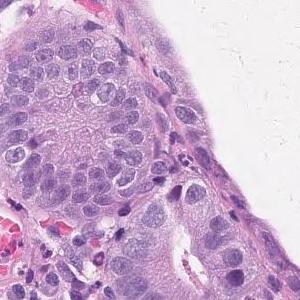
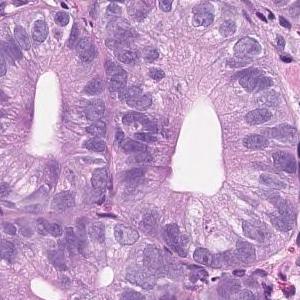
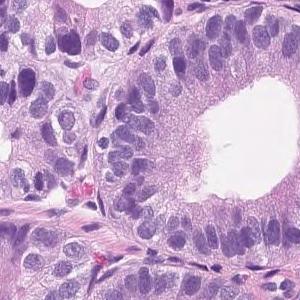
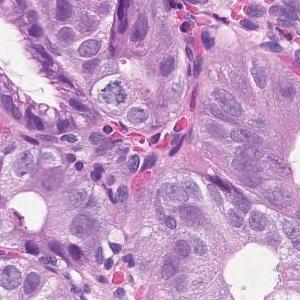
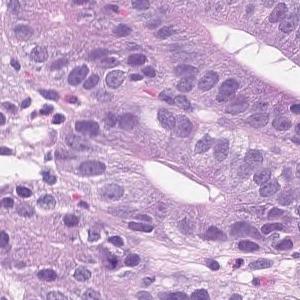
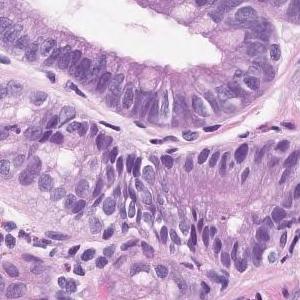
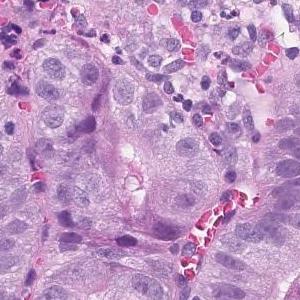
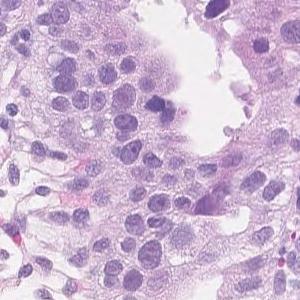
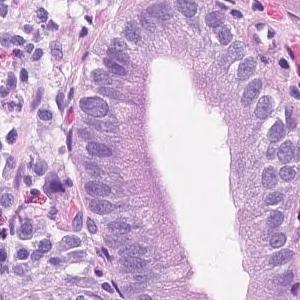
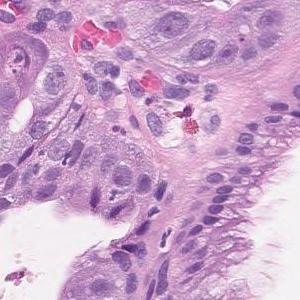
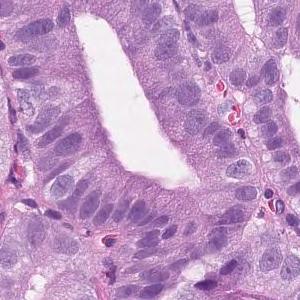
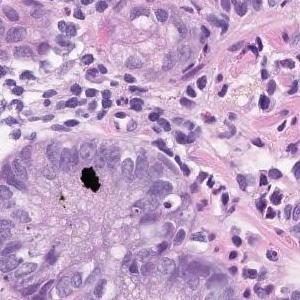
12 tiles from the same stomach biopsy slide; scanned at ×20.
Pathology report for the slide these tiles were cut from. The report and the diagnosis cover the entire slide, so not every feature they name need be visible here, and some tissue shown may not be tumor.
Tumor tissue consisting of medium-sized and irregular ducts is observed infiltrating in the superficial epithelium. Tumor cells are highly columnar, with nuclei aligned basolaterally and polarized. Well differentiated tubular adenocarcinoma.
